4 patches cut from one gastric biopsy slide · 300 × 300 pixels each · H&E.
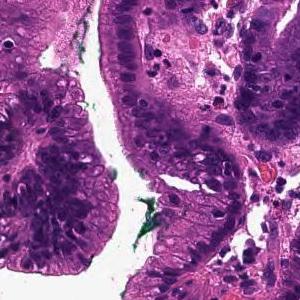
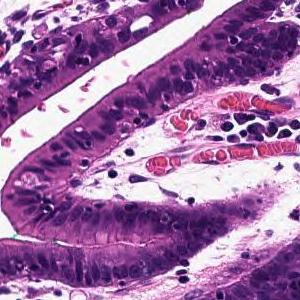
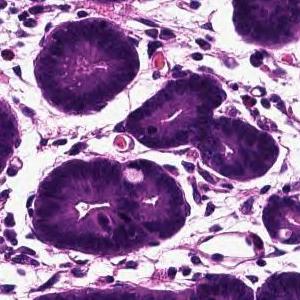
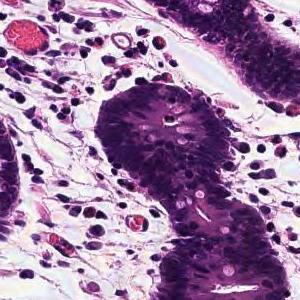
The pathologist's report on the biopsy slide these tiles were taken from. The report and the diagnosis cover the entire slide, so not every feature they name need be visible here, and some tissue shown may not be tumor.
Tumor tissue that infiltrates by forming large papillary or large irregular glandular ducts is observed confined to the mucosa. Papillary adenocarcinoma
